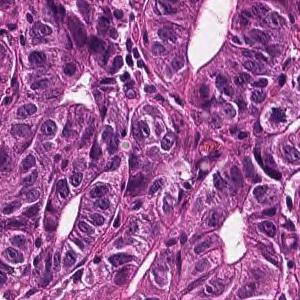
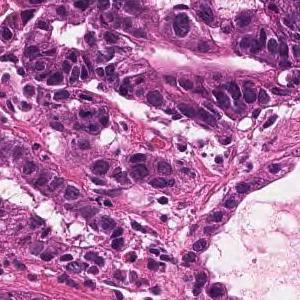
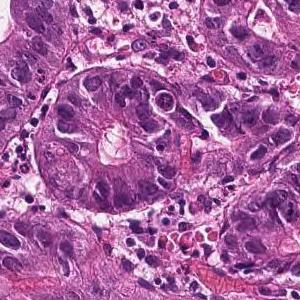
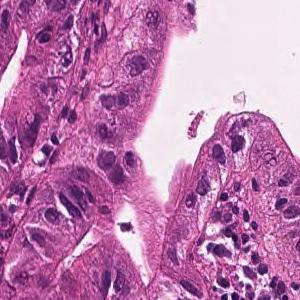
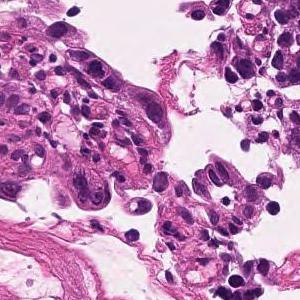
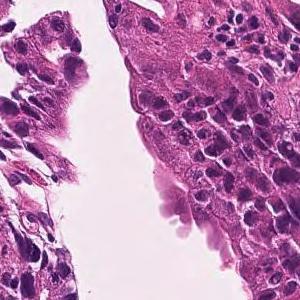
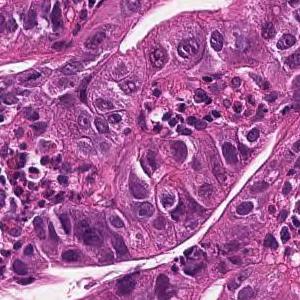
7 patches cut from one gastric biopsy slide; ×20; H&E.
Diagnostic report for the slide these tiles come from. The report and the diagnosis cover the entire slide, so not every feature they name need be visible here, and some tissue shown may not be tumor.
In the superficial epithelium, tumor tissue that invades by forming medium-sized to small, irregular ducts is observed. moderately differentiated tubular adenocarcinoma.
